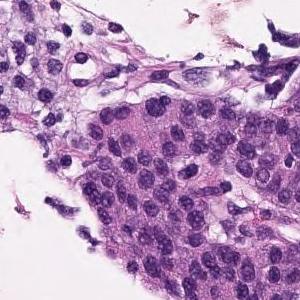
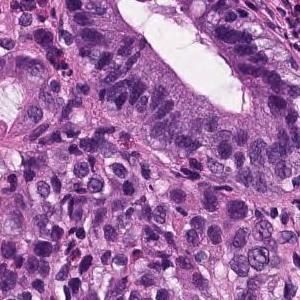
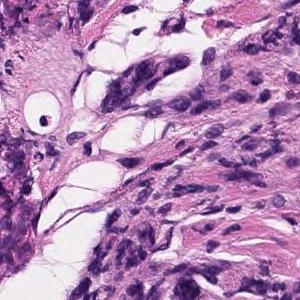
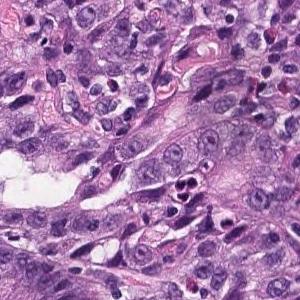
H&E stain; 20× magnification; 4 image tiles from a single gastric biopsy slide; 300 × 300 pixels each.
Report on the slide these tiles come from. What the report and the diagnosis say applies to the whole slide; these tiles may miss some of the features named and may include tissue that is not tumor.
In the superficial epithelium, tumor tissue that invades by forming medium-sized to small, irregular ducts is observed. Moderately differentiated adenocarcinoma.
Subtype: Moderately differentiated tubular adenocarcinoma.
